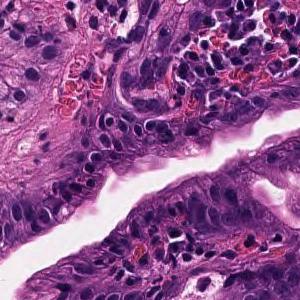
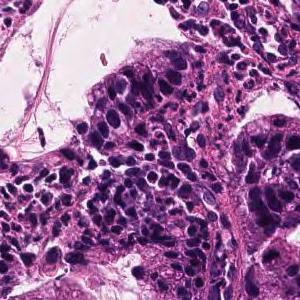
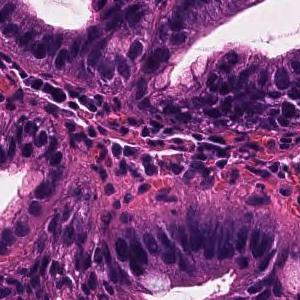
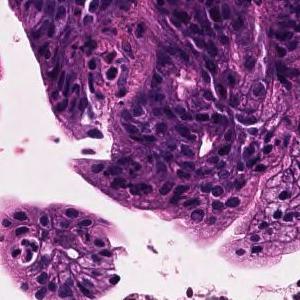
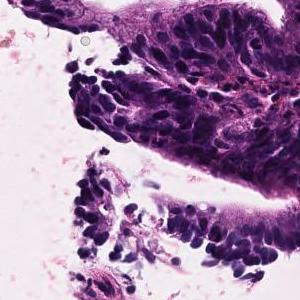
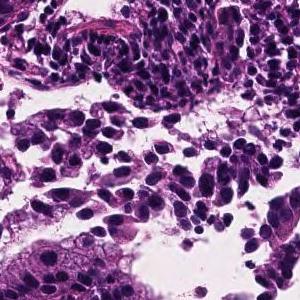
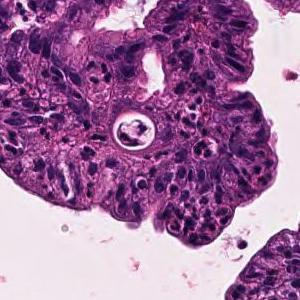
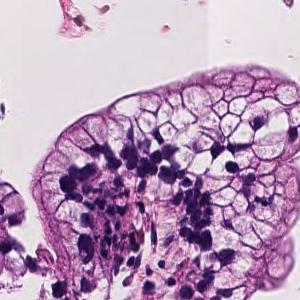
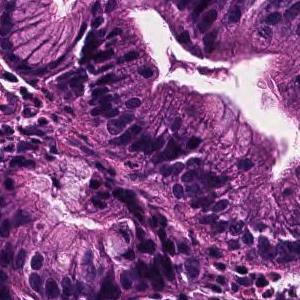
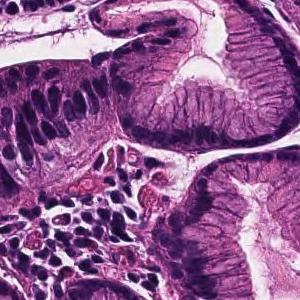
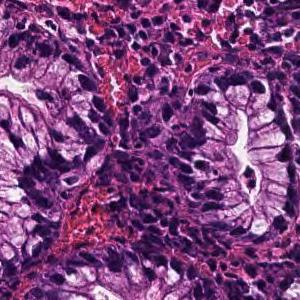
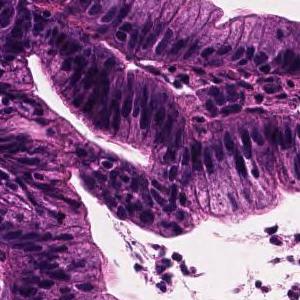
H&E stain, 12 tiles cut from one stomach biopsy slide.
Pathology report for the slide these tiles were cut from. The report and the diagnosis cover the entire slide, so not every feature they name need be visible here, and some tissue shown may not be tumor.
Tumor cells are large, highly columnar, large club-shaped nuclei, and are associated with chromatin aggregation. Papillary adenocarcinoma.
